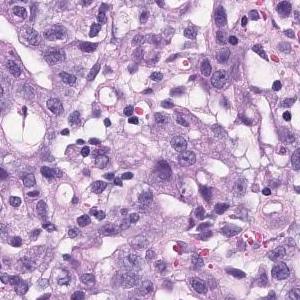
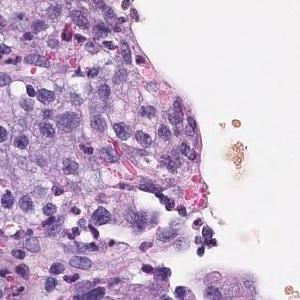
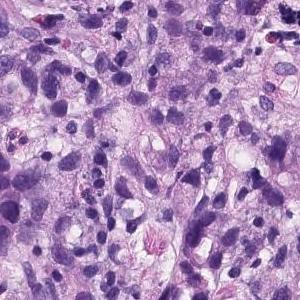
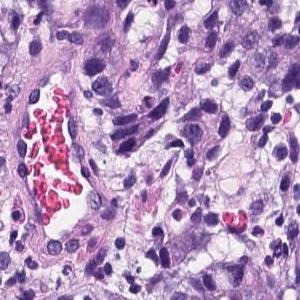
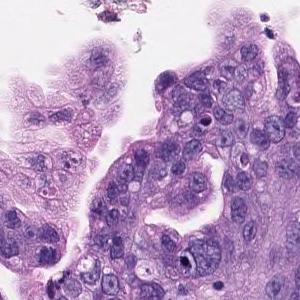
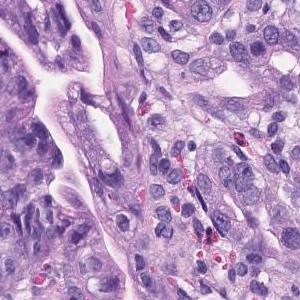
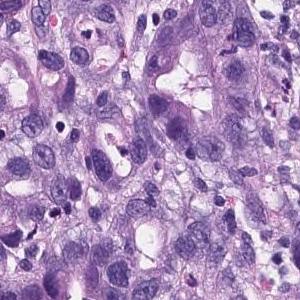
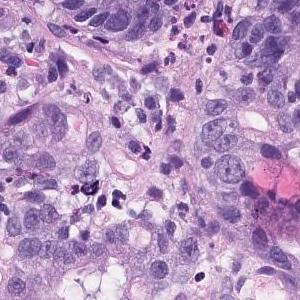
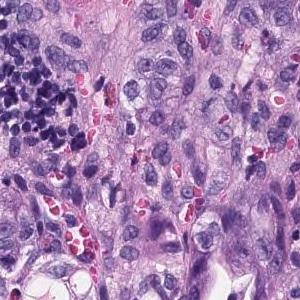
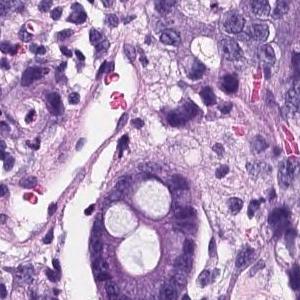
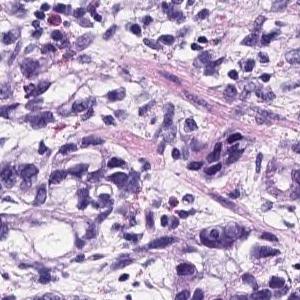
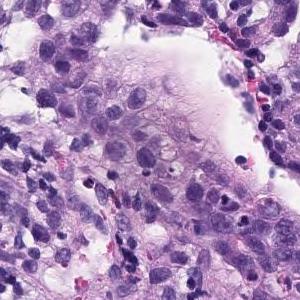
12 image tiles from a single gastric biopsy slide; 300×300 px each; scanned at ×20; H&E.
The pathologist's report on the biopsy slide these tiles were taken from. The report and the diagnosis describe the slide as a whole, so these tiles may not show every feature named and may include non-tumor tissue.
There are atypical l cells with atypical nuclei forming cord-like or irregular atypical ducts from solidity and proliferating in a comprehensive manner. Poorly differentiated adenocarcinoma, Moderately differentiated adenocarcinoma (poorly differentiated adenocarcinoma, solid type moderately differentiated tubular adenocarcinoma)
Subtype: Moderately to poorly differentiated adenocarcinoma.
The solid type named here is a Japanese Classification of Gastric Carcinoma category; WHO 2019 calls it tubular adenocarcinoma, poorly differentiated.
